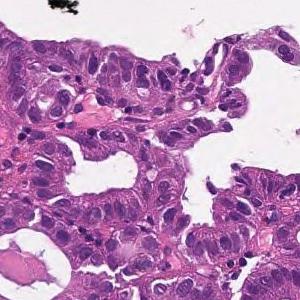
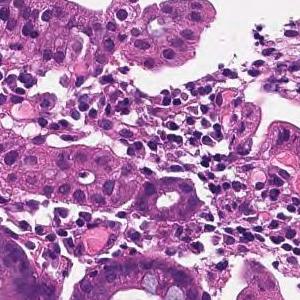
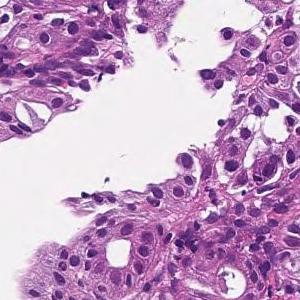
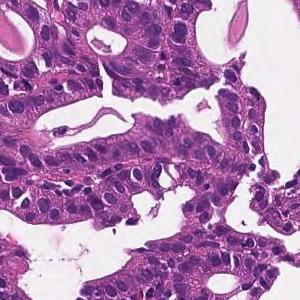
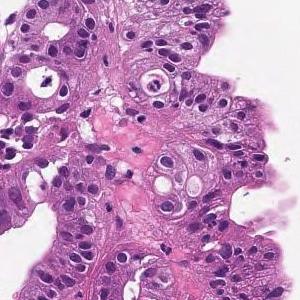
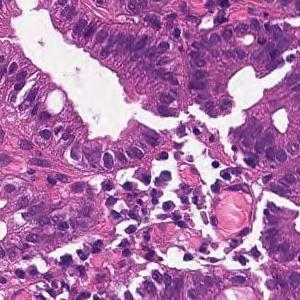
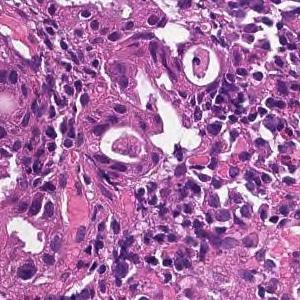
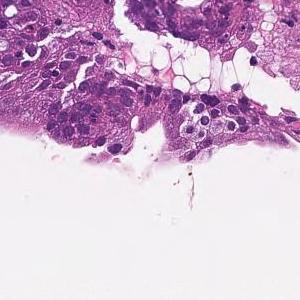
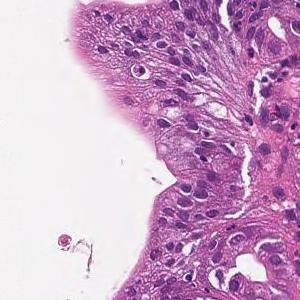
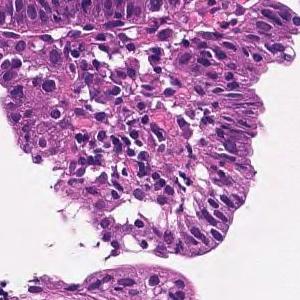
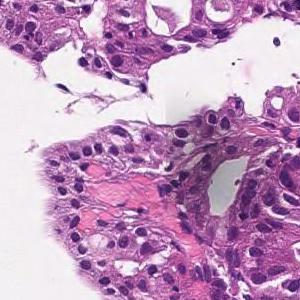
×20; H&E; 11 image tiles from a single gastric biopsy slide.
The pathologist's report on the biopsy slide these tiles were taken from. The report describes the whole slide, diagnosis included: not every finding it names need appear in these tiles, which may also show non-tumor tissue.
On the superficial epithelium, tumor tissue consisting of medium-sized irregular glandular ducts partially fused and infiltrated is observed. Well to moderately differentiated tubular adenocarcinoma (well differentiated tubular adenocarcinoma-moderately differentiated tubular adenocarcinoma)
Subtype: Well to moderately differentiated tubular adenocarcinoma.
